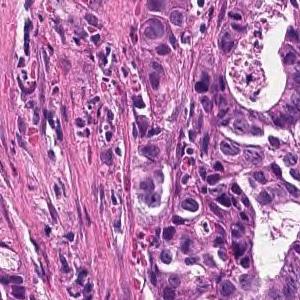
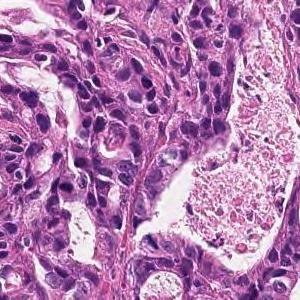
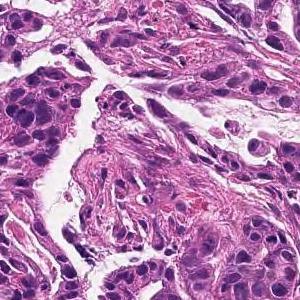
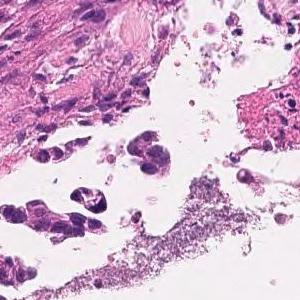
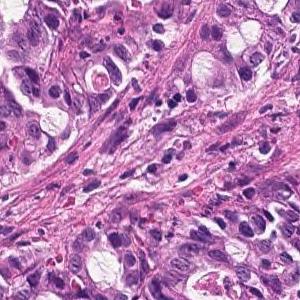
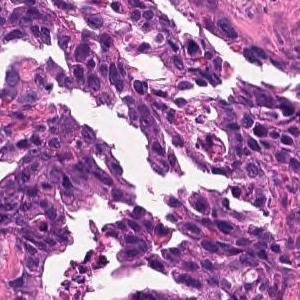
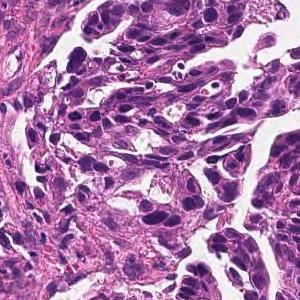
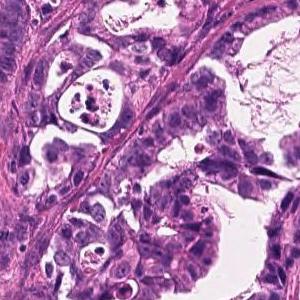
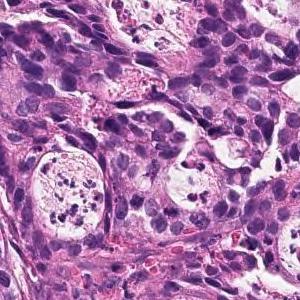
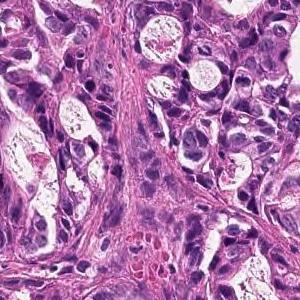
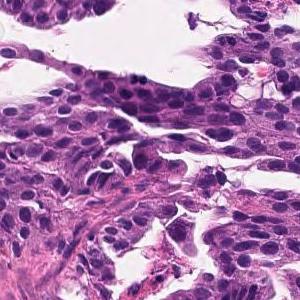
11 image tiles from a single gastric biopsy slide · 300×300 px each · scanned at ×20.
Diagnostic report for the slide these tiles come from. The report describes the whole slide, diagnosis included: not every finding it names need appear in these tiles, which may also show non-tumor tissue.
On the superficial epithelium, tumor tissue consisting of images of small to medium-sized and irregular tubules infiltrating with irregular fusion is observed. moderately differentiated tubular adenocarcinoma
